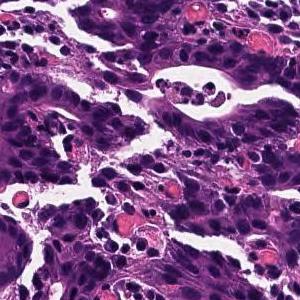
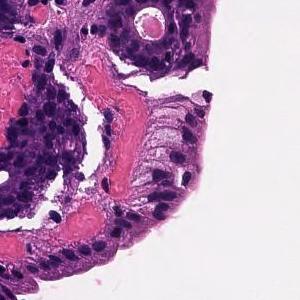
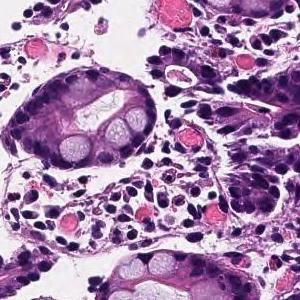
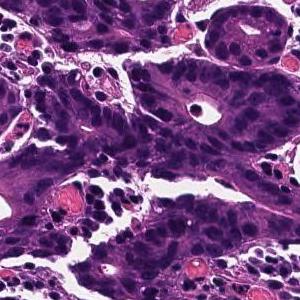
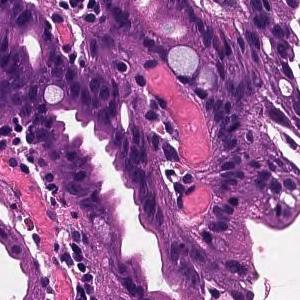
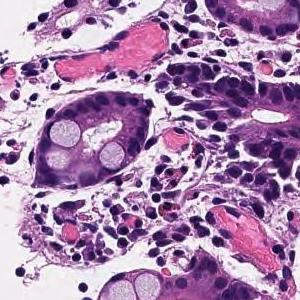
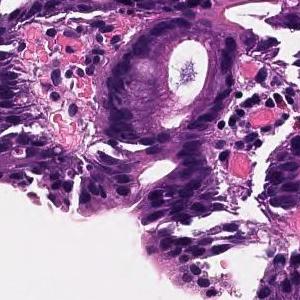
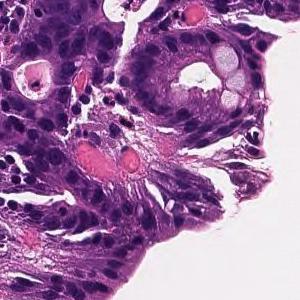
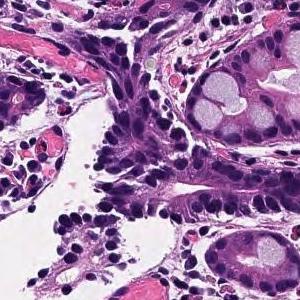
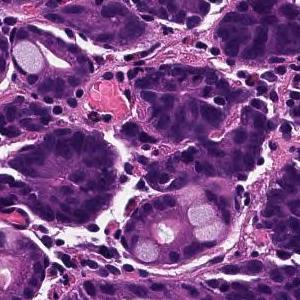
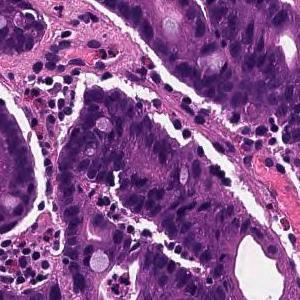
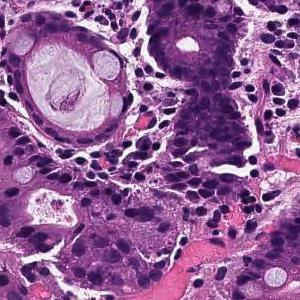
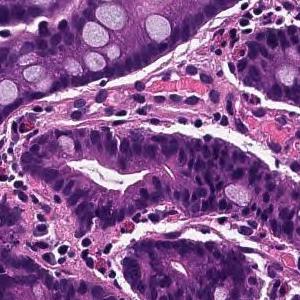
13 patches cut from one gastric biopsy slide, each 300 × 300 pixels, 20× magnification, hematoxylin and eosin stain.
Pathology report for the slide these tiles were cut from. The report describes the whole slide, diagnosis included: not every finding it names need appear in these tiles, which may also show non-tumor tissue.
In the superficial epithelium, tumor tissue that invades by forming medium-sized to small, irregular ducts is observed. moderately differentiated tubular adenocarcinoma.
